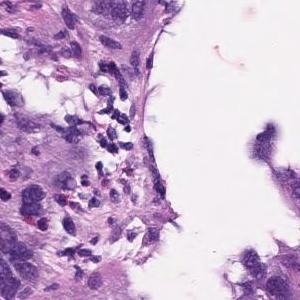
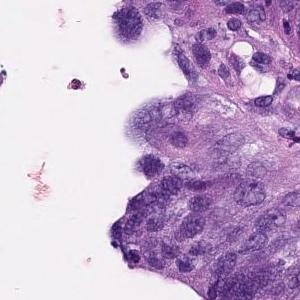
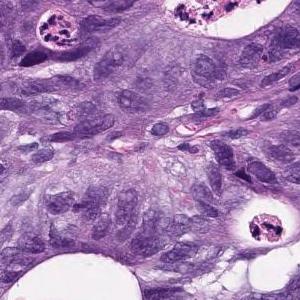
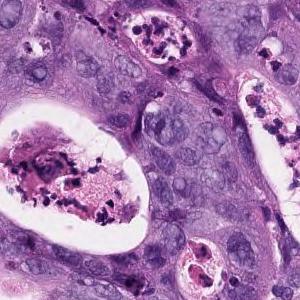
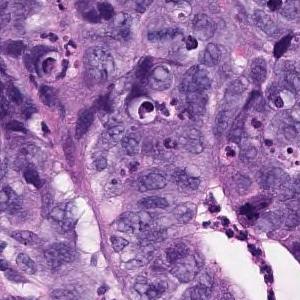
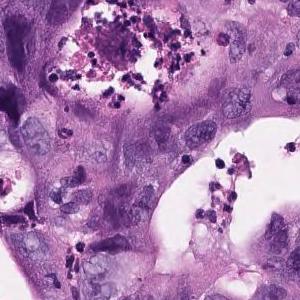
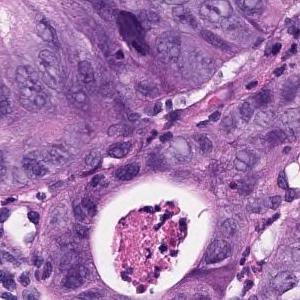
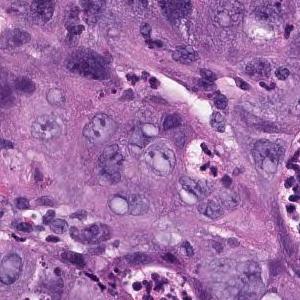
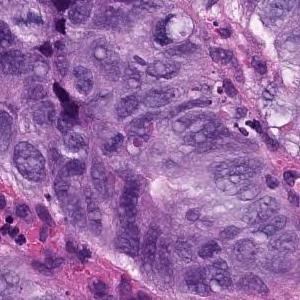
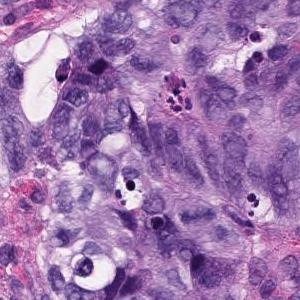
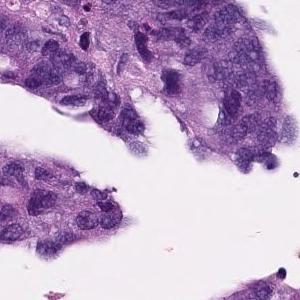
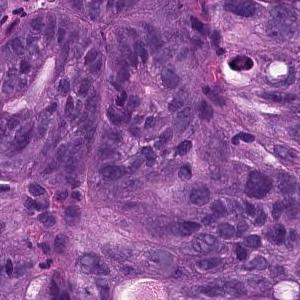
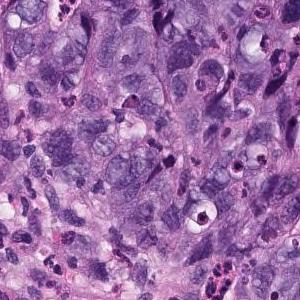
×20; H&E; 13 tiles from the same stomach biopsy slide.
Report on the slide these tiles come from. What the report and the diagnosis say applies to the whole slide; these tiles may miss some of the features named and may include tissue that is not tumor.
In the superficial epithelium, tumor tissue that invades by forming medium-sized to small, irregular ducts is observed. Moderately differentiated adenocarcinoma.
Histological subtype: Moderately differentiated tubular adenocarcinoma.
